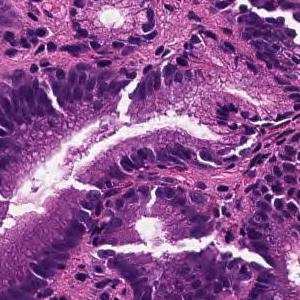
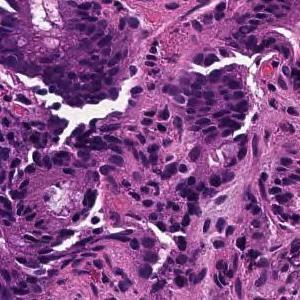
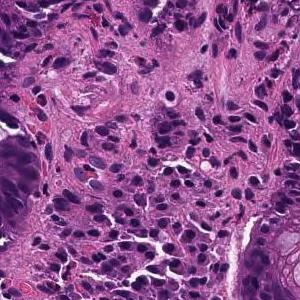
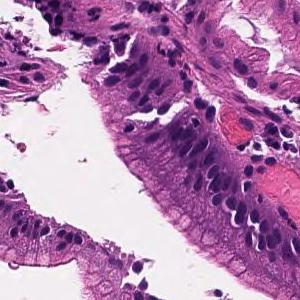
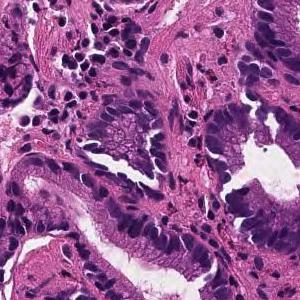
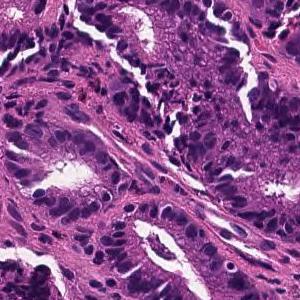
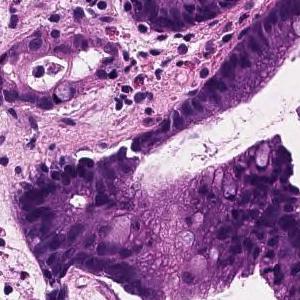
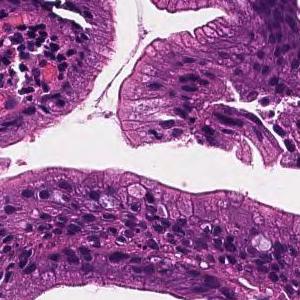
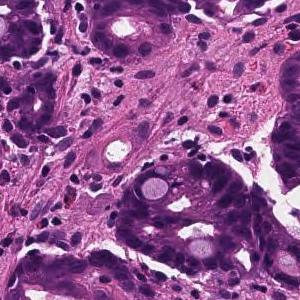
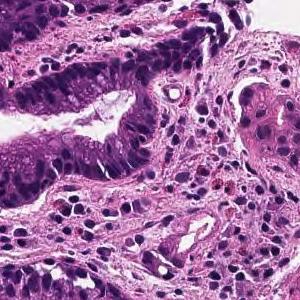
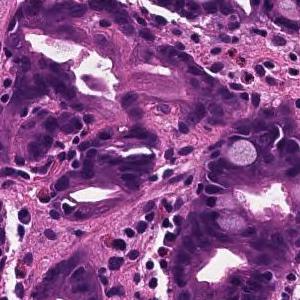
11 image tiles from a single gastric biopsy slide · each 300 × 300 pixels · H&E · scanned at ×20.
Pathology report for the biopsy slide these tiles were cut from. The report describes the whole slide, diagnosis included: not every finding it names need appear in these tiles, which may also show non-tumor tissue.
From the superficial epithelium to the muscularis mucosae, tumor tissue consisting of medium-sized and irregular glandular ducts infiltrating is observed. Well differentiated tubular adenocarcinoma
